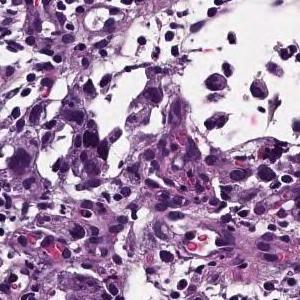
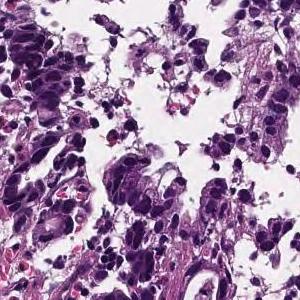
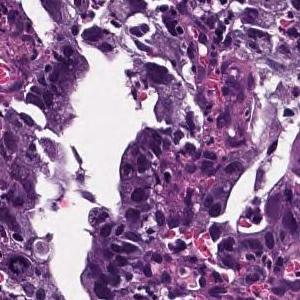
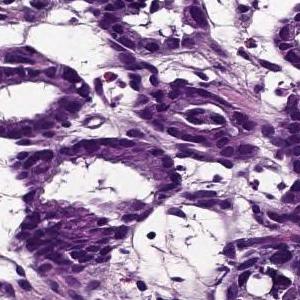
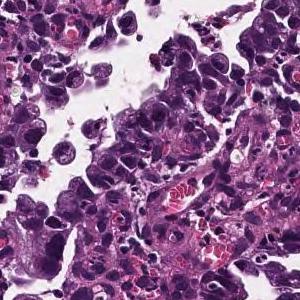
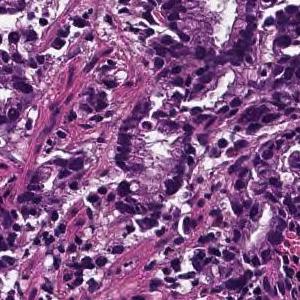
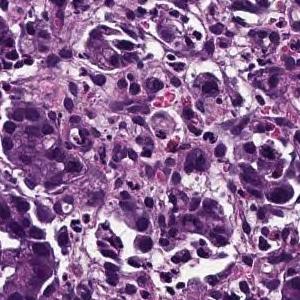
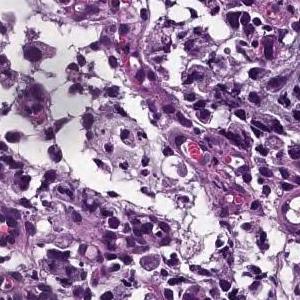
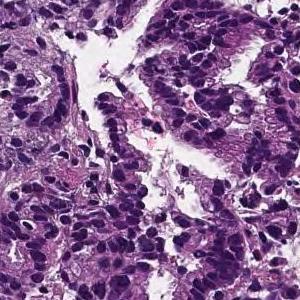
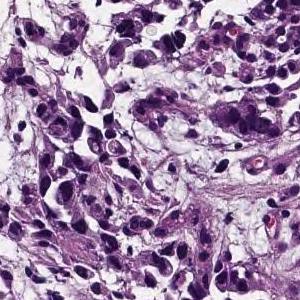
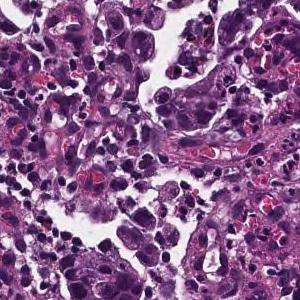
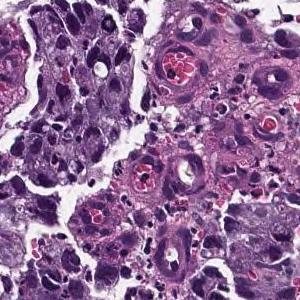
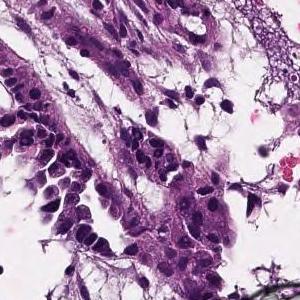
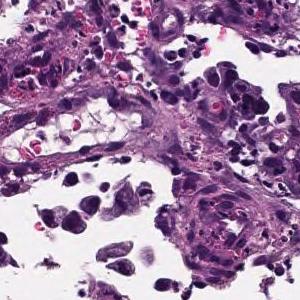
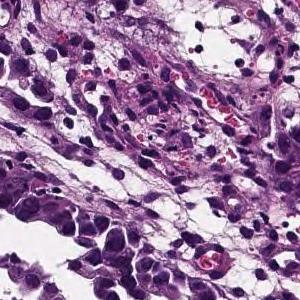
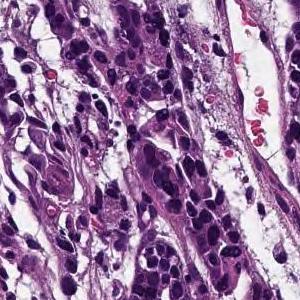
20× magnification; 16 image tiles from a single gastric biopsy slide; each 300 × 300 pixels.
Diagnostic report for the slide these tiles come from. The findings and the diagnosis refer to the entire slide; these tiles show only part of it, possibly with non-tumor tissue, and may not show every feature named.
Medium to small, irregular glandular ducts are formed in the superficial epithelium, and in some cases, the glandular ducts are fused to show solid alveolar lesions and infiltrating tumor tissue is observed. Moderately to poorly differentiated adenocarcinoma.
